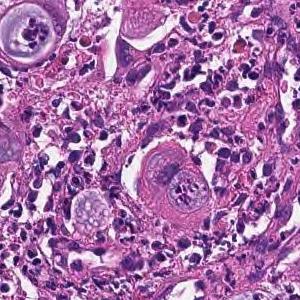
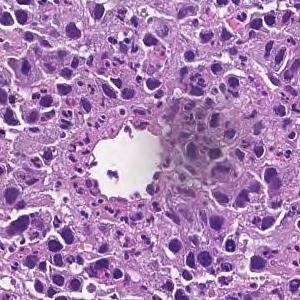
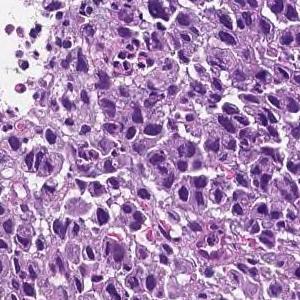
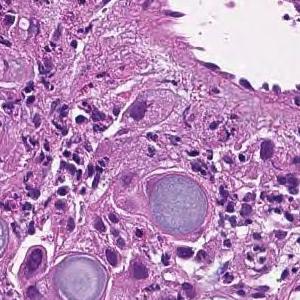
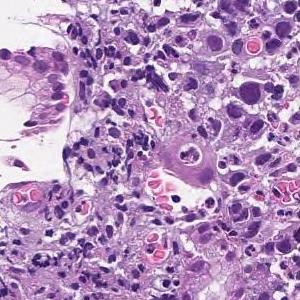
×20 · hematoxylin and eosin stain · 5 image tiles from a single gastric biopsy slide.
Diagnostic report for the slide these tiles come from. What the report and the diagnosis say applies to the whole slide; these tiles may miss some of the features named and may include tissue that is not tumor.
The superficial epithelium shows a large sheet-like shape, and some tumor tissue infiltrates with small irregular ducts. Poorly differentiated adenocarcinoma, solid-type
Subtype: Poorly differentiated adenocarcinoma, solid type (Japanese Classification of Gastric Carcinoma). The WHO 2019 equivalent is tubular adenocarcinoma, poorly differentiated.
